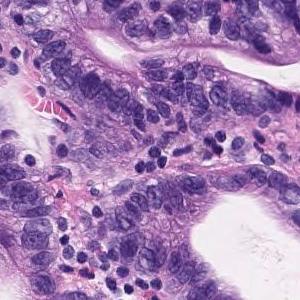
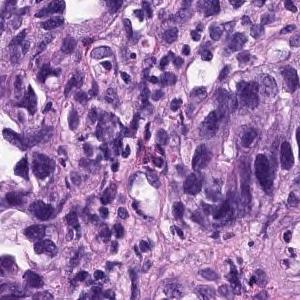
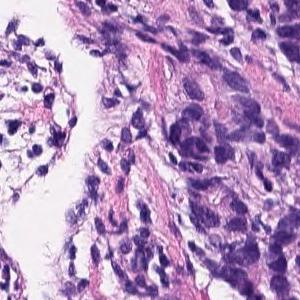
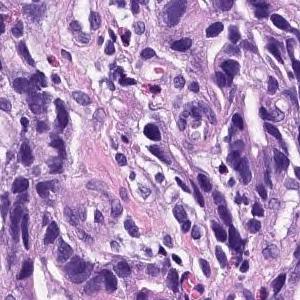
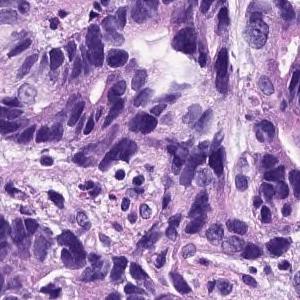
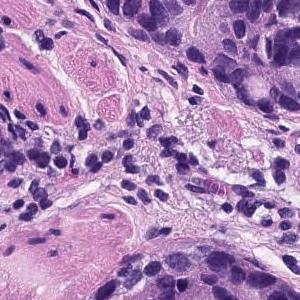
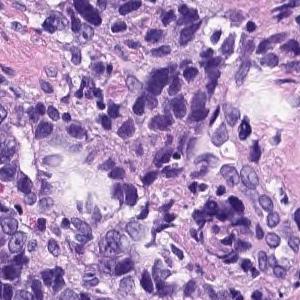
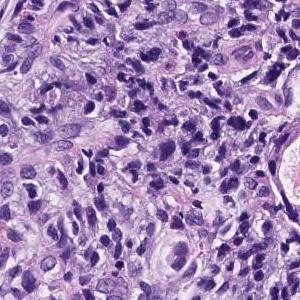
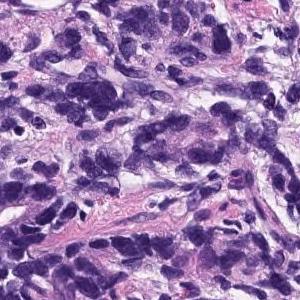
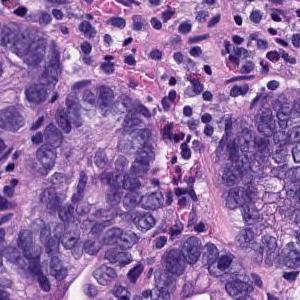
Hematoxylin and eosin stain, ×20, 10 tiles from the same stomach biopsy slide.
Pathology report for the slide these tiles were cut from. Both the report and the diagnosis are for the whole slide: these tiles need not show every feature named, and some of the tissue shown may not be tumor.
On the superficial epithelium, tumor tissue consisting of images showing invasive growth with small, irregular tubules partially fused is observed. moderately differentiated tubular adenocarcinoma
